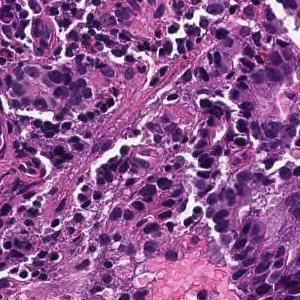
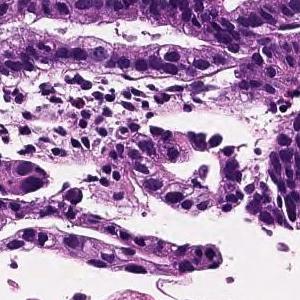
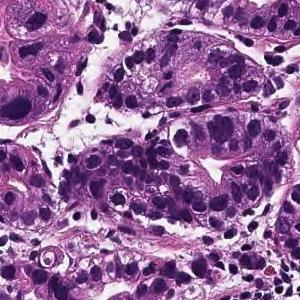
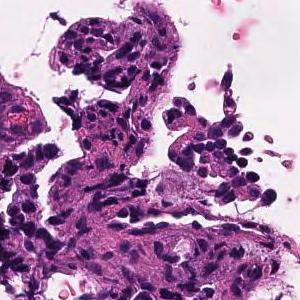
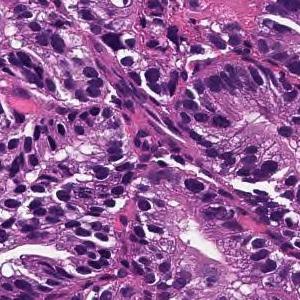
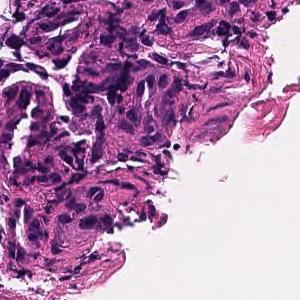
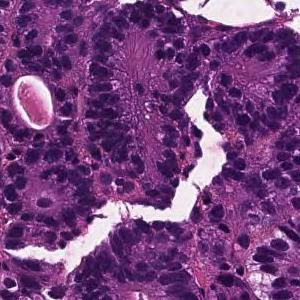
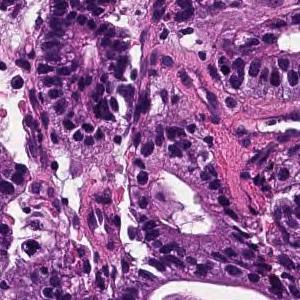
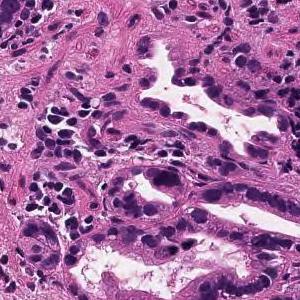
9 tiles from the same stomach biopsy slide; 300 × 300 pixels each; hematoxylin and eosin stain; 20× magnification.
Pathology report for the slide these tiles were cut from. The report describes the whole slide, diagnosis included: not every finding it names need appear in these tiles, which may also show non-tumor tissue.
From the superficial epithelium to the muscularis mucosae, tumor tissue consisting of medium-sized and irregular glandular ducts infiltrating is observed. Well differentiated tubular adenocarcinoma
